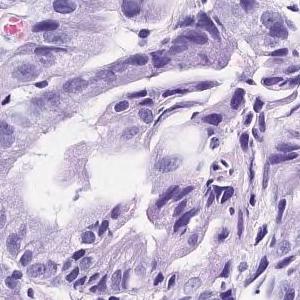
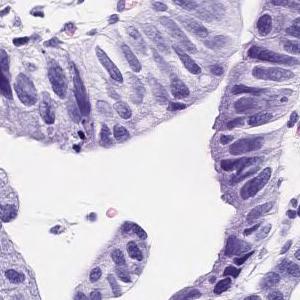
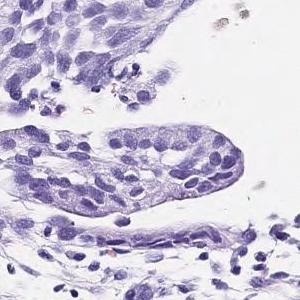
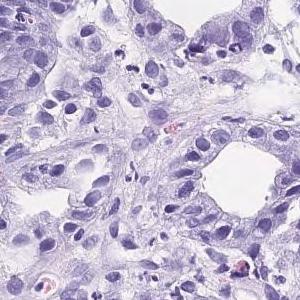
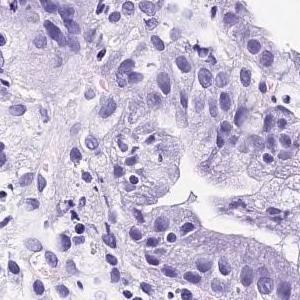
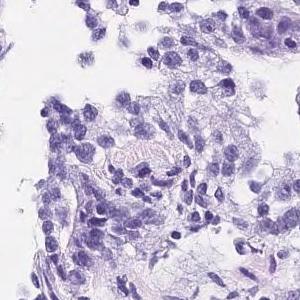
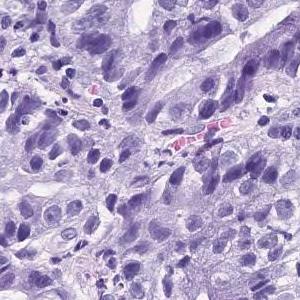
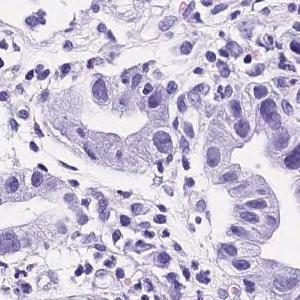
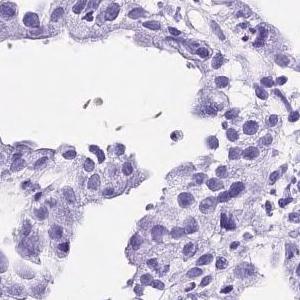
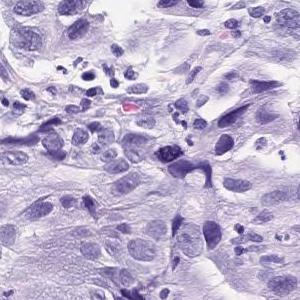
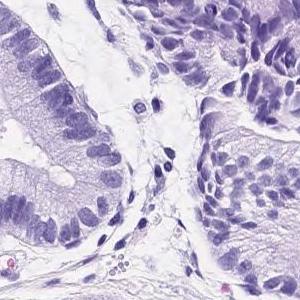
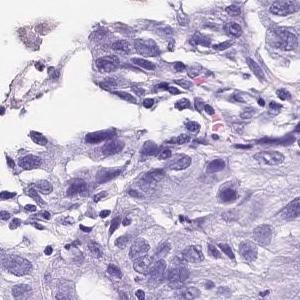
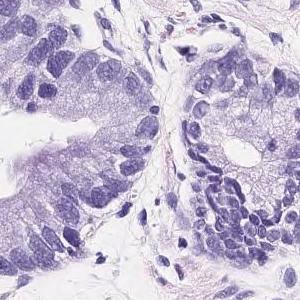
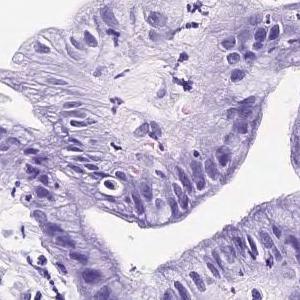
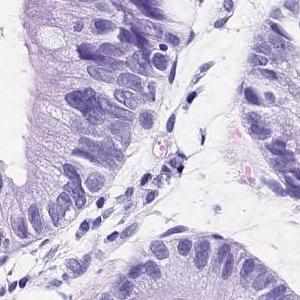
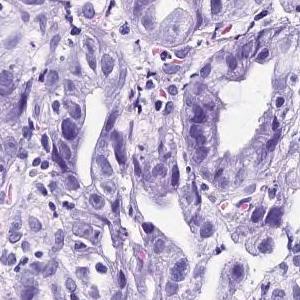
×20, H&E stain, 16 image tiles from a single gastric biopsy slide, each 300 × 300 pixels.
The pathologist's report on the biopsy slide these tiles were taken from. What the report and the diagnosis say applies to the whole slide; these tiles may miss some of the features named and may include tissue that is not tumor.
Tumor tissue consisting of medium-sized and irregular ducts is observed infiltrating in the superficial epithelium. Tumor cells are highly columnar, with nuclei aligned basolaterally and polarized. Well differentiated tubular adenocarcinoma.
